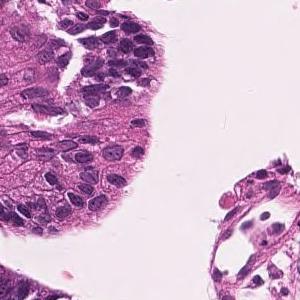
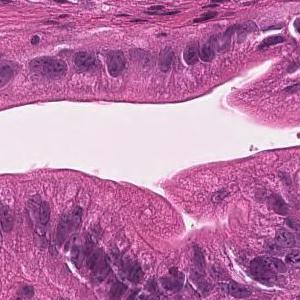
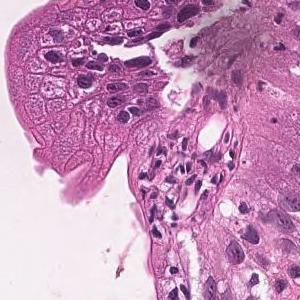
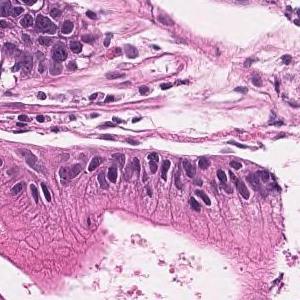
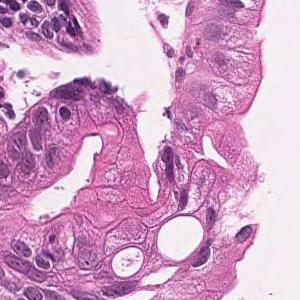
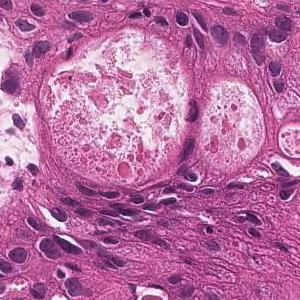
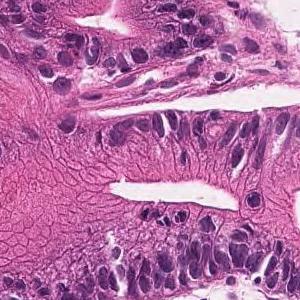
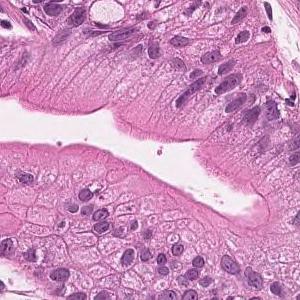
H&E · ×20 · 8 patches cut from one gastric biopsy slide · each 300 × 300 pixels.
Report on the slide these tiles come from. The report and the diagnosis describe the slide as a whole, so these tiles may not show every feature named and may include non-tumor tissue.
On the superficial epithelium, tumor tissue that infiltrates by forming medium-sized papillary or small irregular ducts is observed. Papillary adenocarcinoma
